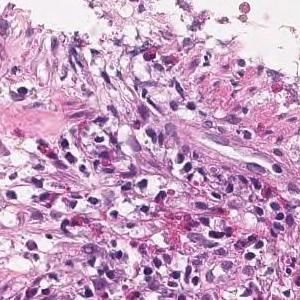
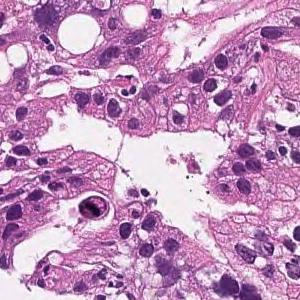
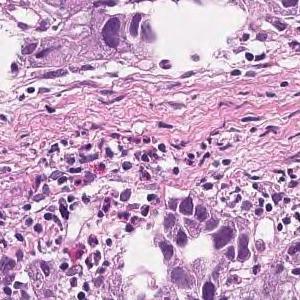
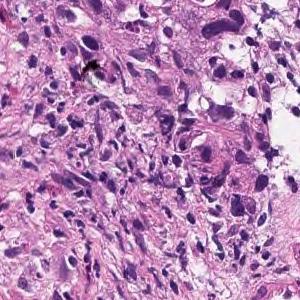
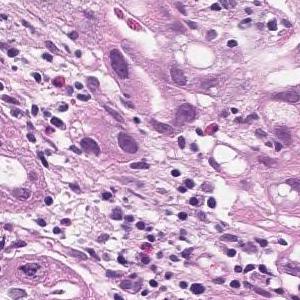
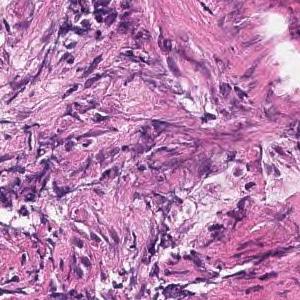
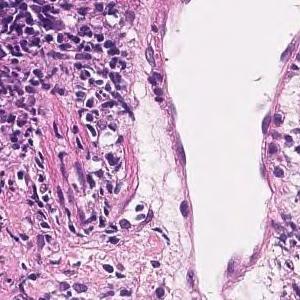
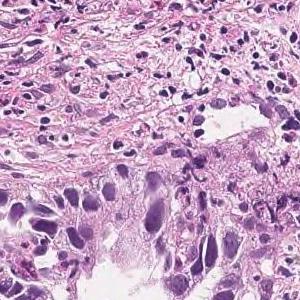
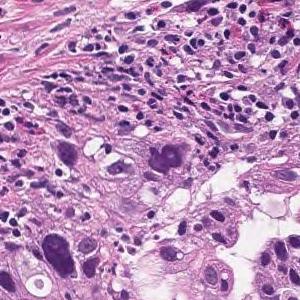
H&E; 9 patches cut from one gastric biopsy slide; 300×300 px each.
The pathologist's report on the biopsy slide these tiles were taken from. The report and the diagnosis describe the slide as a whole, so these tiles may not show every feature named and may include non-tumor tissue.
In the superficial epithelium, tumor tissue that invades by forming medium-sized to small, irregular ducts is observed. moderately differentiated tubular adenocarcinoma.
